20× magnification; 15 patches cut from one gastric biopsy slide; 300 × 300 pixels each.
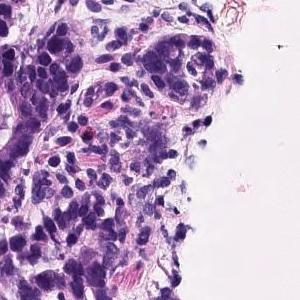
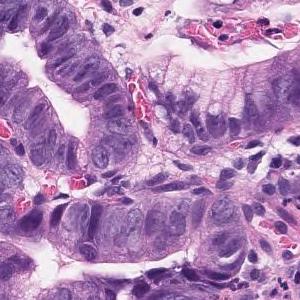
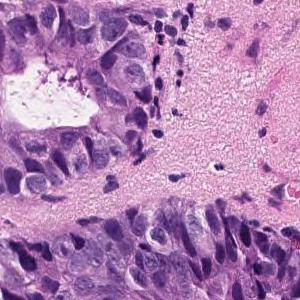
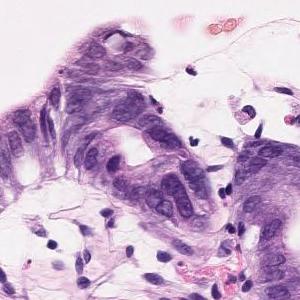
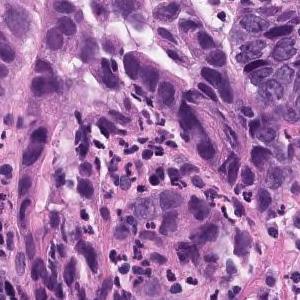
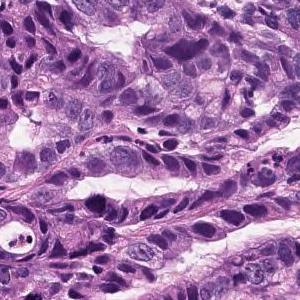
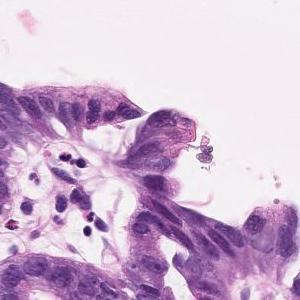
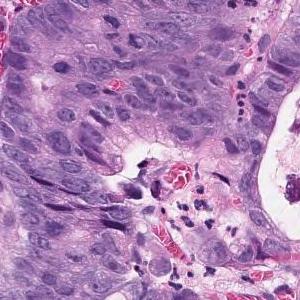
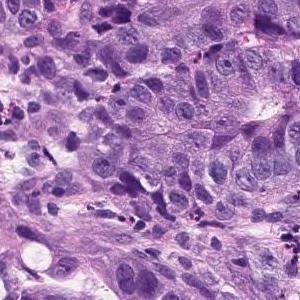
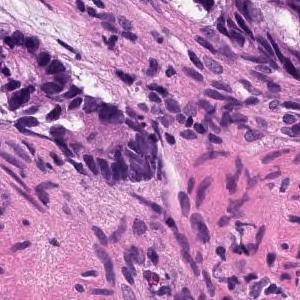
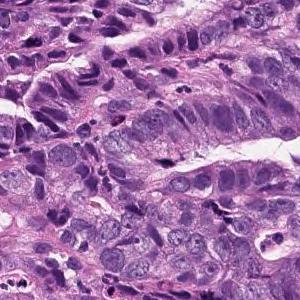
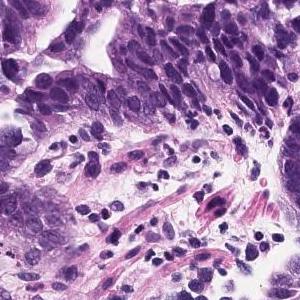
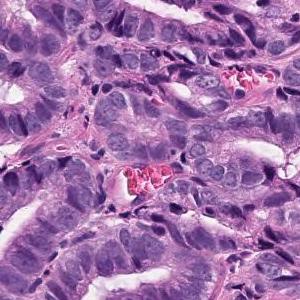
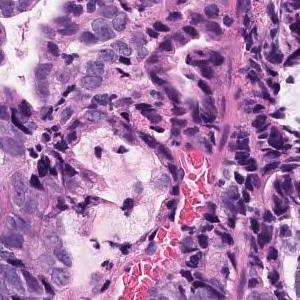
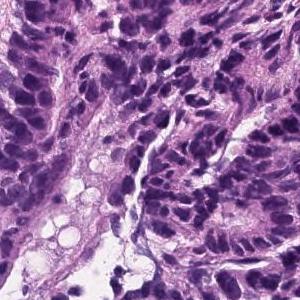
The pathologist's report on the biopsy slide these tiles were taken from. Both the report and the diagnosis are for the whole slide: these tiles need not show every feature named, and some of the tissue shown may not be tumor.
The swollen atypical epithelium of the nucleus forms an irregular ductal structure and proliferates. moderately differentiated tubular adenocarcinoma
